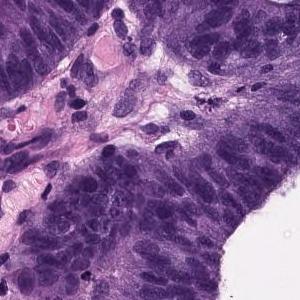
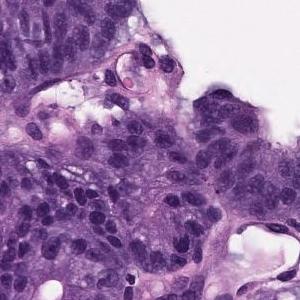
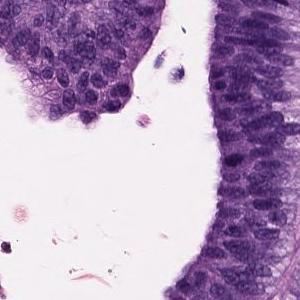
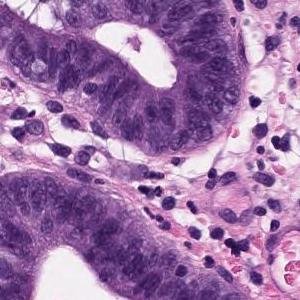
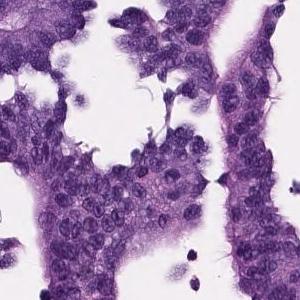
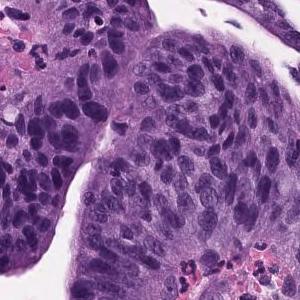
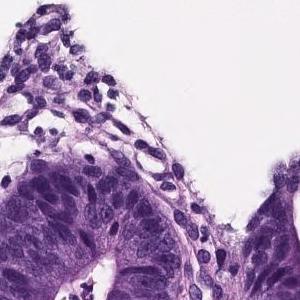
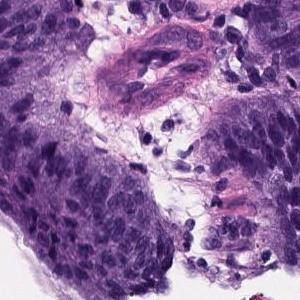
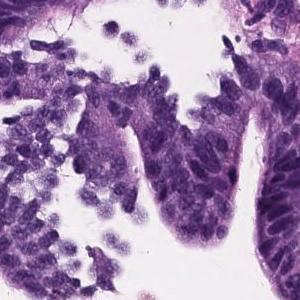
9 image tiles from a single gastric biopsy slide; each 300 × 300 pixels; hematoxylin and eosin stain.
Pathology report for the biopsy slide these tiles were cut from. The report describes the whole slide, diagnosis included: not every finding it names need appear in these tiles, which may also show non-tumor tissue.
Papillo-tubular growth of atypical tubules with nuclear swelling is observed. Well differentiated tubular adenocarcinoma
